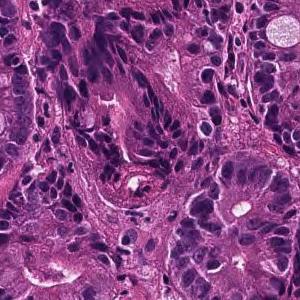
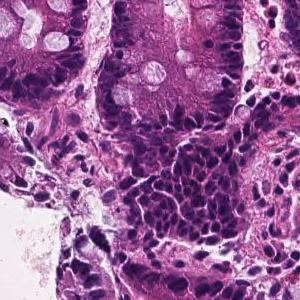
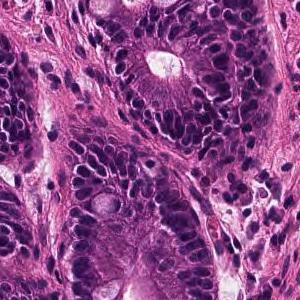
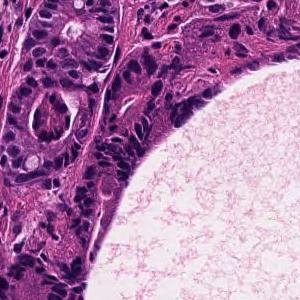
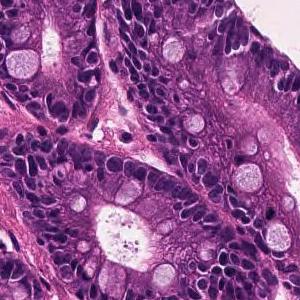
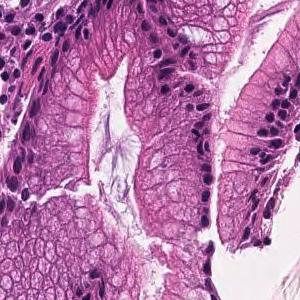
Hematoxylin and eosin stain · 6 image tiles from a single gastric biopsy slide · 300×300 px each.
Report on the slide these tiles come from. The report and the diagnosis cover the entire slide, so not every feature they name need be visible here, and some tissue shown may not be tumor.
Medium to small, irregular glandular ducts are formed in the superficial epithelium, and in some cases, the glandular ducts are fused to show solid alveolar lesions and infiltrating tumor tissue is observed. Moderately to poorly differentiated adenocarcinoma.
